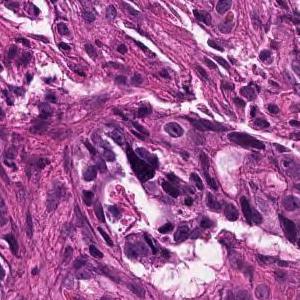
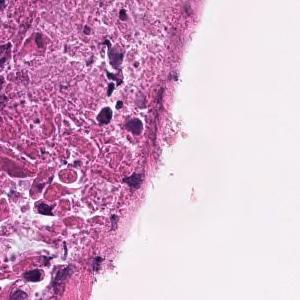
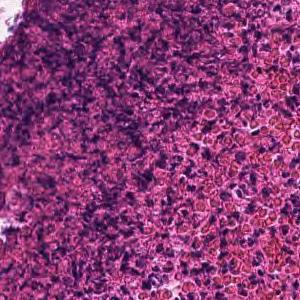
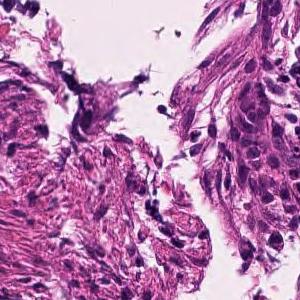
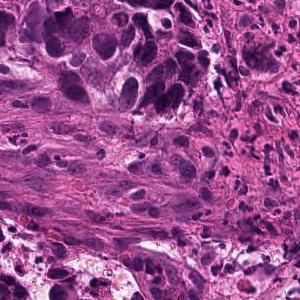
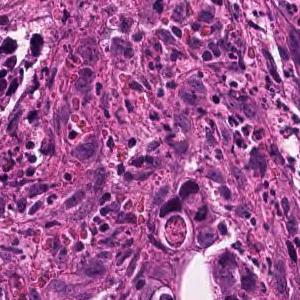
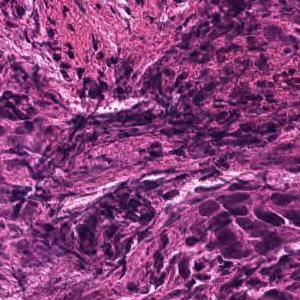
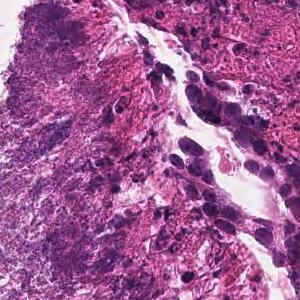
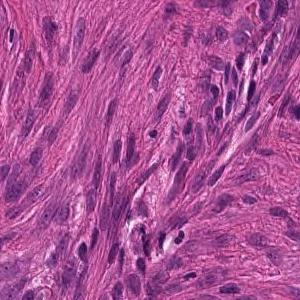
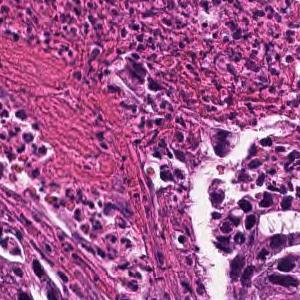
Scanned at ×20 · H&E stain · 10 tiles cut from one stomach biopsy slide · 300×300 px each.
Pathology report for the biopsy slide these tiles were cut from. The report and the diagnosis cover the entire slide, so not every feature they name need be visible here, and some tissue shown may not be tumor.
In the superficial epithelium, tumor tissue that invades by forming medium-sized to small, irregular ducts is observed. moderately differentiated tubular adenocarcinoma.
